20× magnification · H&E stain · 13 image tiles from a single gastric biopsy slide.
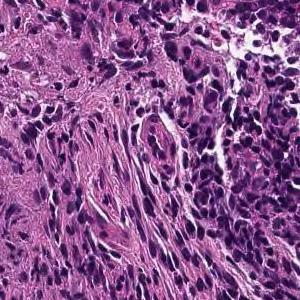
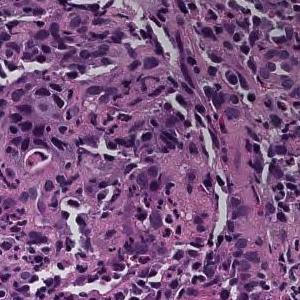
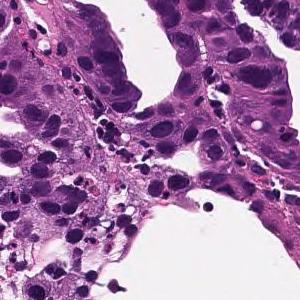
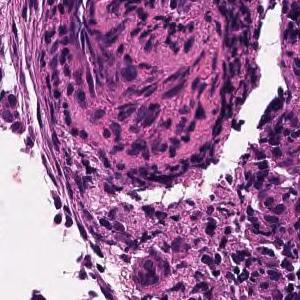
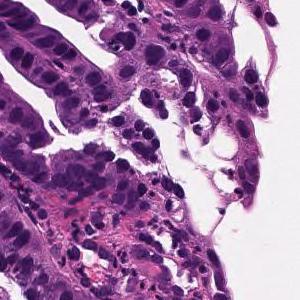
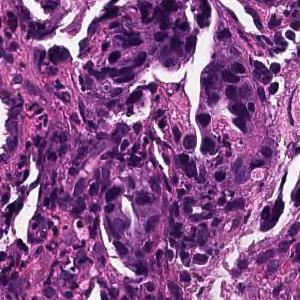
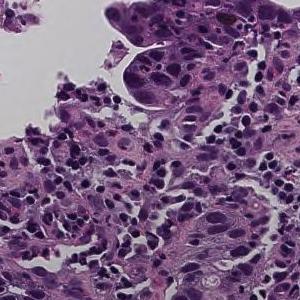
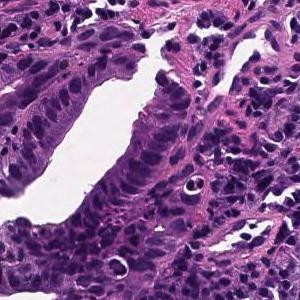
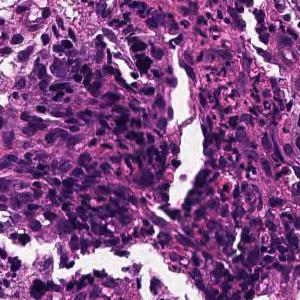
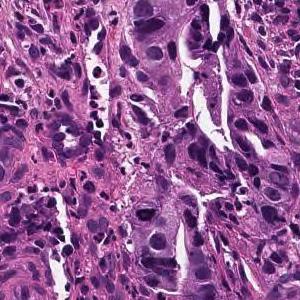
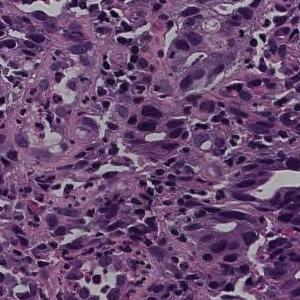
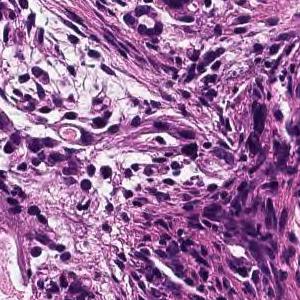
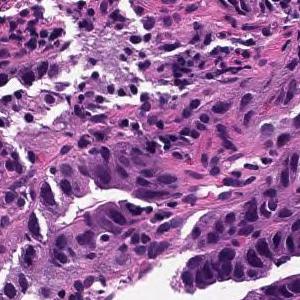
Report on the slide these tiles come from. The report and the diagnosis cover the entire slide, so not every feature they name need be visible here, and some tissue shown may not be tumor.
On the superficial epithelium, tumor tissue consisting of large irregular glandular ducts partially fused and infiltrated is observed. Well to moderately differentiated tubular adenocarcinoma (well differentiated tubular adenocarcinoma, moderately differentiated tubular adenocarcinoma)
Histologic type: Well to moderately differentiated tubular adenocarcinoma.
